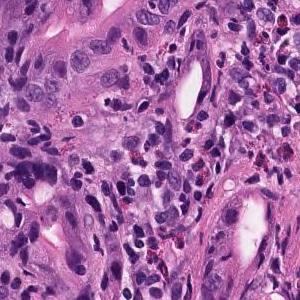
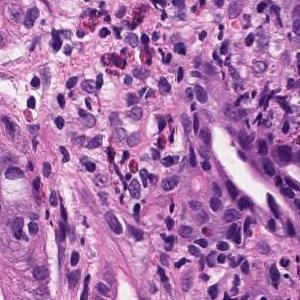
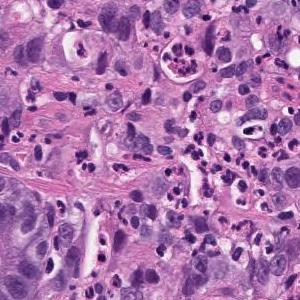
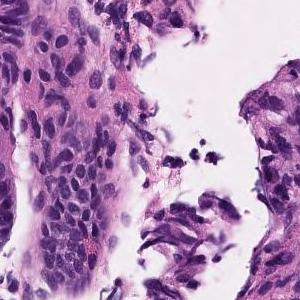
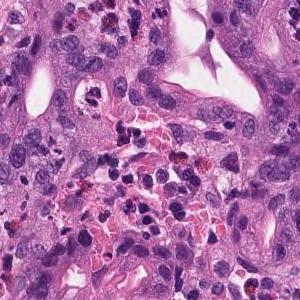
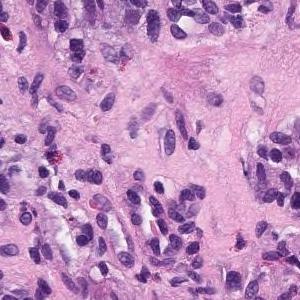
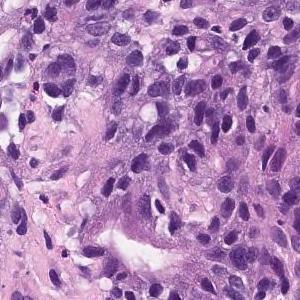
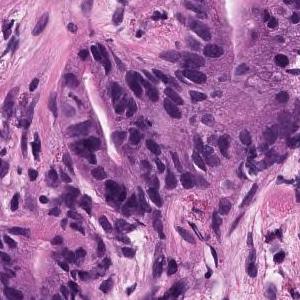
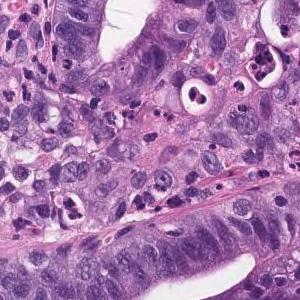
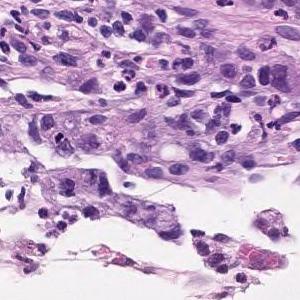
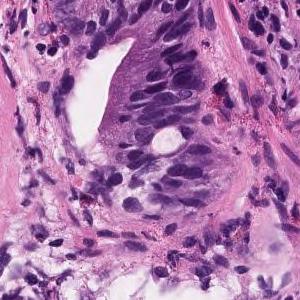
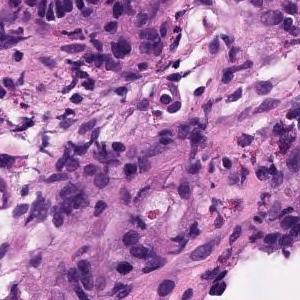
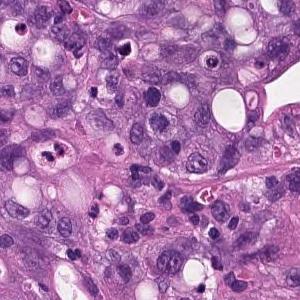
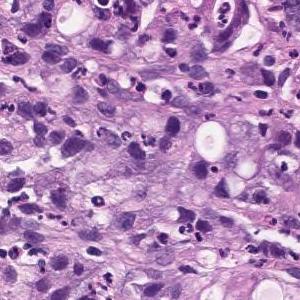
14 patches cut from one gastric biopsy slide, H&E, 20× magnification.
Pathology report for the biopsy slide these tiles were cut from. Both the report and the diagnosis are for the whole slide: these tiles need not show every feature named, and some of the tissue shown may not be tumor.
moderately differentiated tubular adenocarcinoma, Poorly differentiated adenocarcinoma
Dataset label: poorly differentiated adenocarcinoma, solid type. This name comes from the Japanese Classification of Gastric Carcinoma; the WHO 2019 classification calls it tubular adenocarcinoma, poorly differentiated.
